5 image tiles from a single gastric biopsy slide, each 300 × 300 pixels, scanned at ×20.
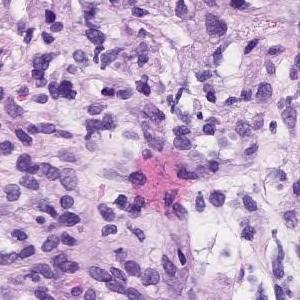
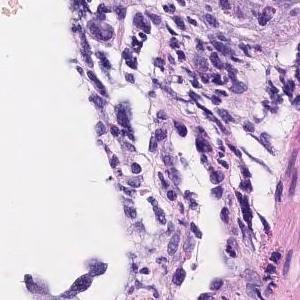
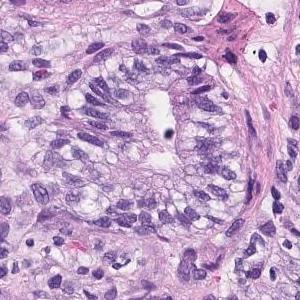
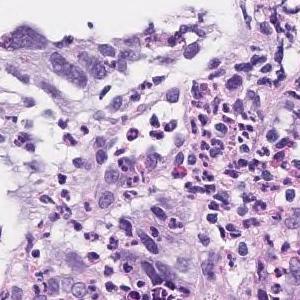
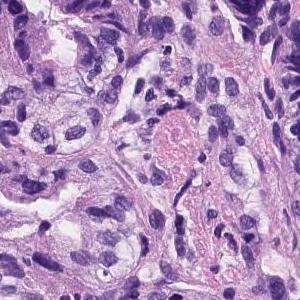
The pathologist's report on the biopsy slide these tiles were taken from. Both the report and the diagnosis are for the whole slide: these tiles need not show every feature named, and some of the tissue shown may not be tumor.
Tumor cells are large, highly columnar, large club-shaped nuclei, and are associated with chromatin aggregation. Papillary adenocarcinoma.
